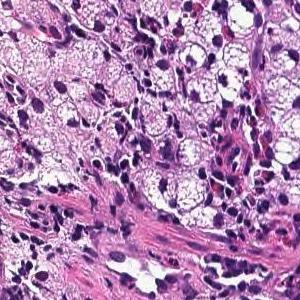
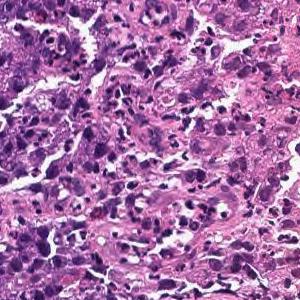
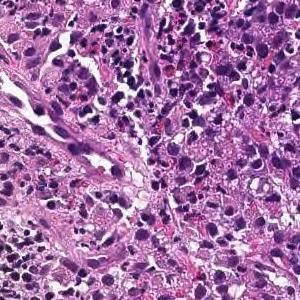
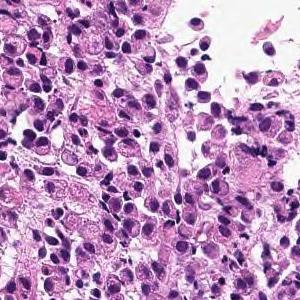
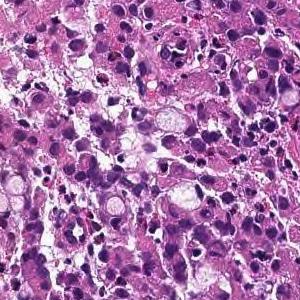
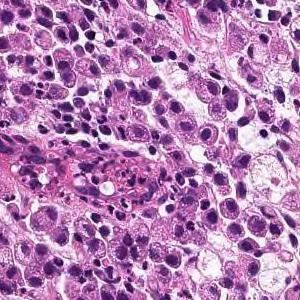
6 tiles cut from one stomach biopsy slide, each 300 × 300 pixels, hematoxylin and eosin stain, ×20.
Report on the slide these tiles come from. Both the report and the diagnosis are for the whole slide: these tiles need not show every feature named, and some of the tissue shown may not be tumor.
Tumor tissue consisting of diffusely infiltrated large atypical epithelial cells or signet ring atypical cells is observed in the superficial epithelium. Poorly differentiated adenocarcinoma, solid-type
Histological subtype: Poorly differentiated adenocarcinoma, solid type, a category of the Japanese Classification of Gastric Carcinoma; in the WHO 2019 classification it is tubular adenocarcinoma, poorly differentiated.
